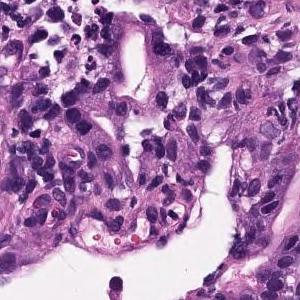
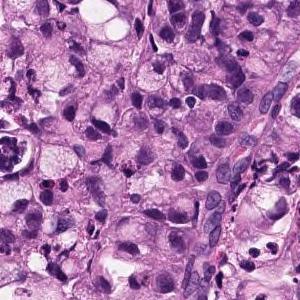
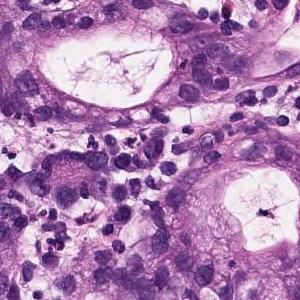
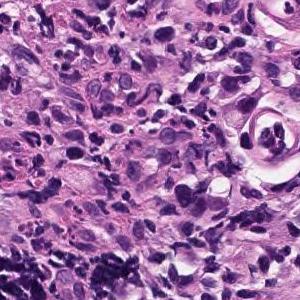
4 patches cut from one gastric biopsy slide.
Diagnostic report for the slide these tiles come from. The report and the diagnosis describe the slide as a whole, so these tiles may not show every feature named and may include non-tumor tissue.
Atypical epithelium forms irregularly fused gland ducts and proliferates. Poorly differentiated adenocarcinoma.
Histologic type: Poorly differentiated adenocarcinoma, non-solid type.
The term "non-solid type" comes from the Japanese Classification of Gastric Carcinoma.
